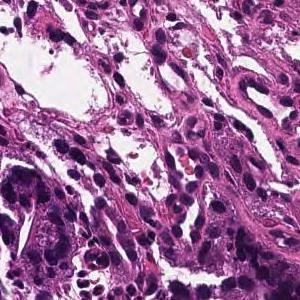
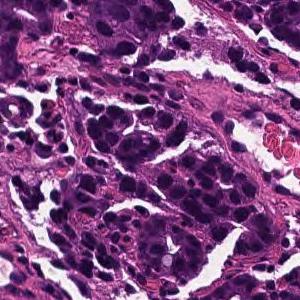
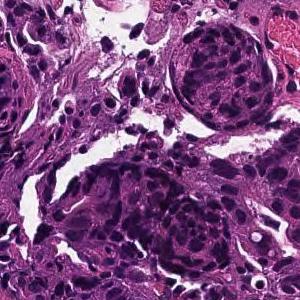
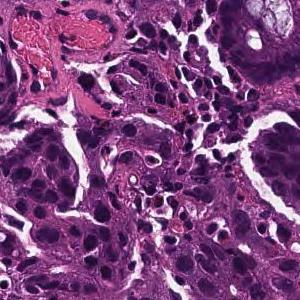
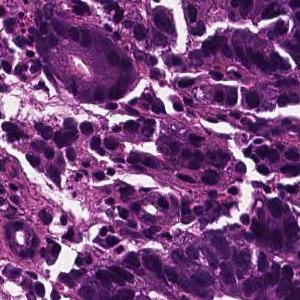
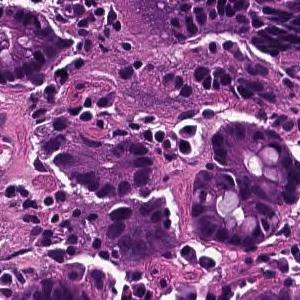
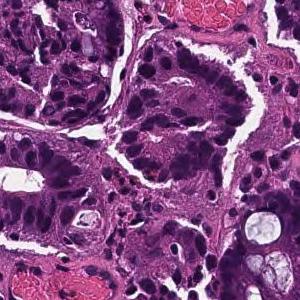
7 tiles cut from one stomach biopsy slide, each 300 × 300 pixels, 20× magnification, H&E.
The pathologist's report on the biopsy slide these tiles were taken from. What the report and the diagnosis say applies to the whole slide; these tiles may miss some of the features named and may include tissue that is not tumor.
In the superficial epithelium, tumor tissue that invades by forming medium-sized to small, irregular ducts is observed. moderately differentiated tubular adenocarcinoma.
